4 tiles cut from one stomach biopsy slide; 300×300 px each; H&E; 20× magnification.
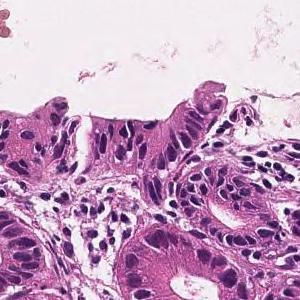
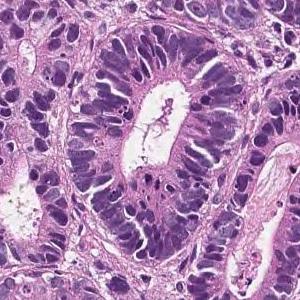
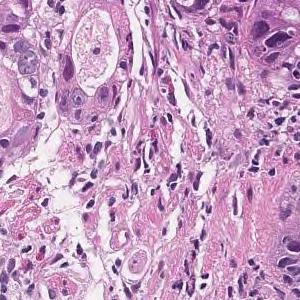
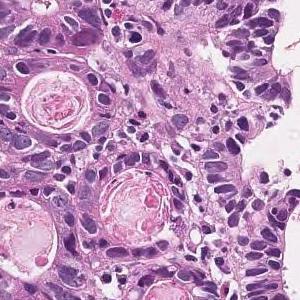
Pathology report for the biopsy slide these tiles were cut from. The report describes the whole slide, diagnosis included: not every finding it names need appear in these tiles, which may also show non-tumor tissue.
In the superficial epithelium, tumor tissue that invades by forming medium-sized to small, irregular ducts is observed. Well differentiated tubular adenocarcinoma.
